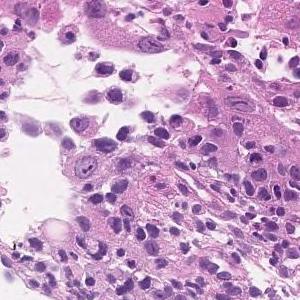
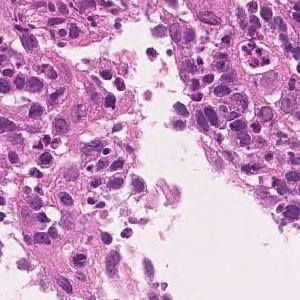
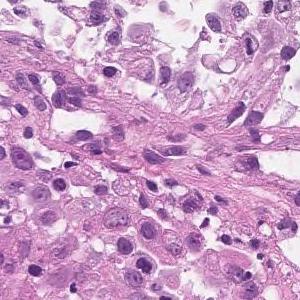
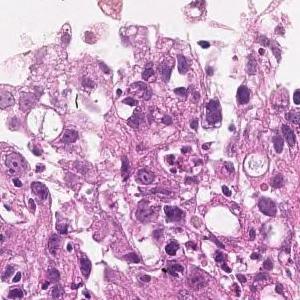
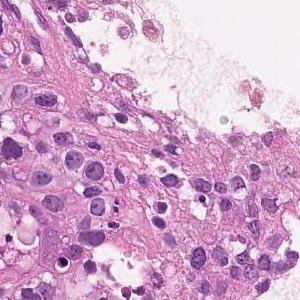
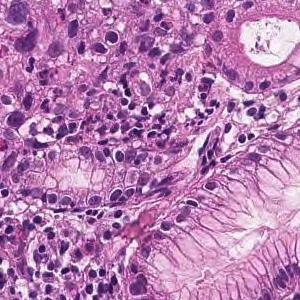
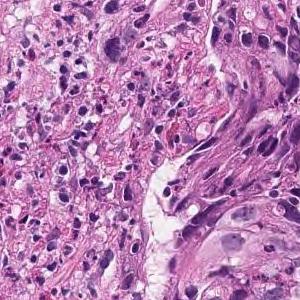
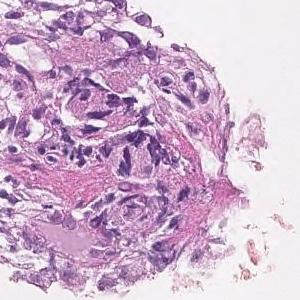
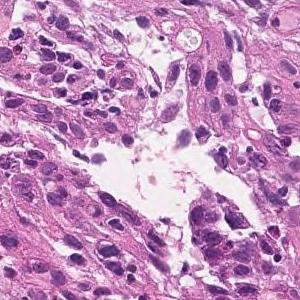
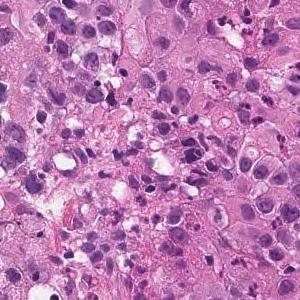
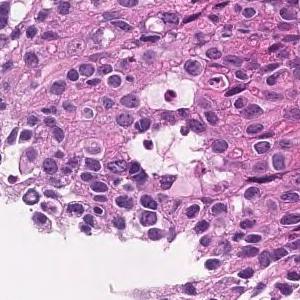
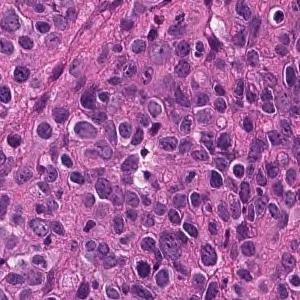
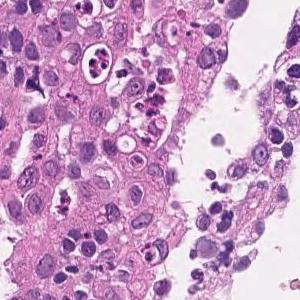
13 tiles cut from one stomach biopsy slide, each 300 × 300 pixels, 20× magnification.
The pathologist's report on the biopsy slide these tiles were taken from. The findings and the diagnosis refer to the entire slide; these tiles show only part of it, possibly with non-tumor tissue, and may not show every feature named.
The superficial epithelium shows a large sheet-like shape, and some tumor tissue infiltrates with small irregular ducts. Poorly differentiated adenocarcinoma, solid-type
Tumor subtype: poorly differentiated adenocarcinoma, solid type. This name comes from the Japanese Classification of Gastric Carcinoma; the WHO 2019 classification calls it tubular adenocarcinoma, poorly differentiated.
